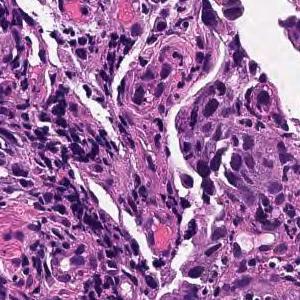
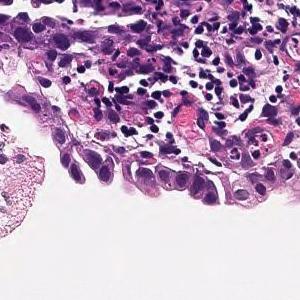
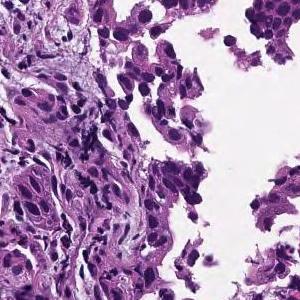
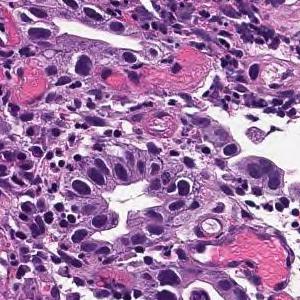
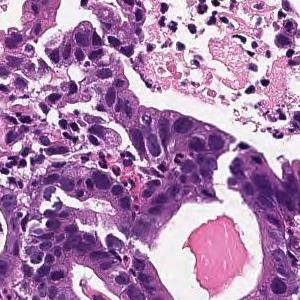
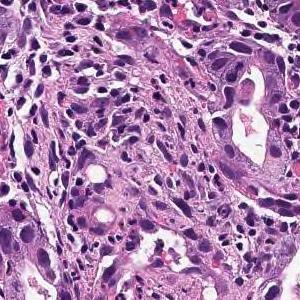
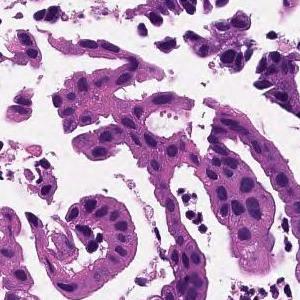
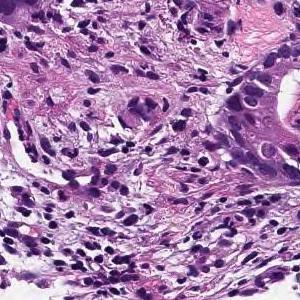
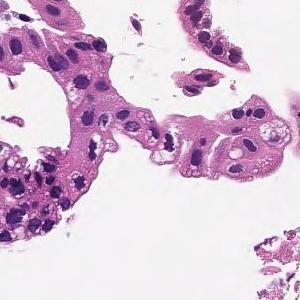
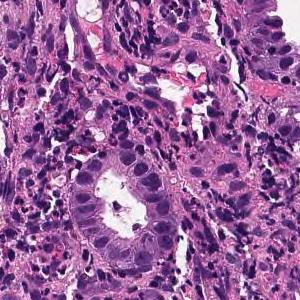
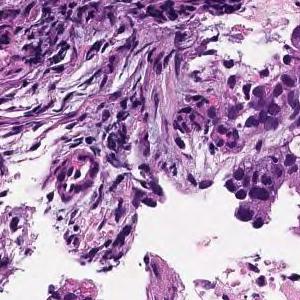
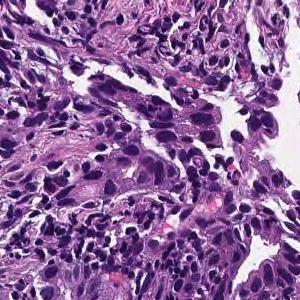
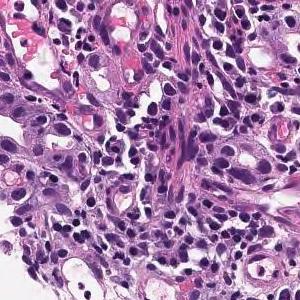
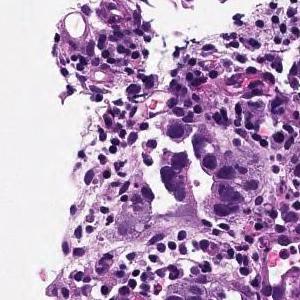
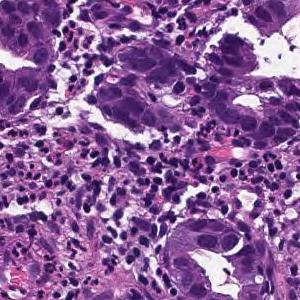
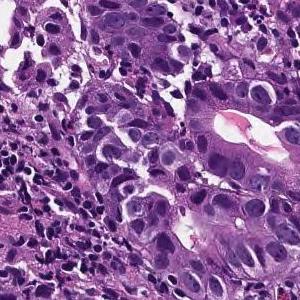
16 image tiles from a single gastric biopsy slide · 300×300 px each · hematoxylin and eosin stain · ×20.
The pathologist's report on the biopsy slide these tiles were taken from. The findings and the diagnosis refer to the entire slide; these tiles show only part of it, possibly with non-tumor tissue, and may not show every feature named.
In the superficial epithelium, tumor tissue that invades by forming medium-sized to small, irregular ducts is observed. moderately differentiated tubular adenocarcinoma.
